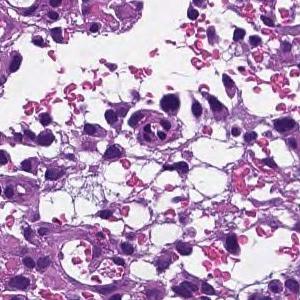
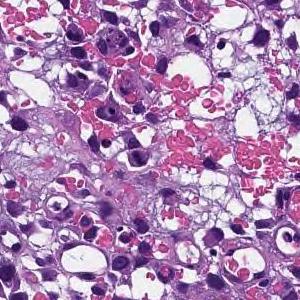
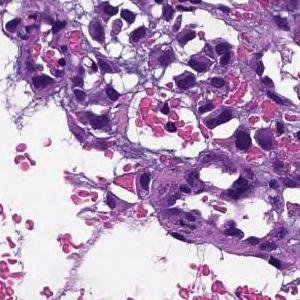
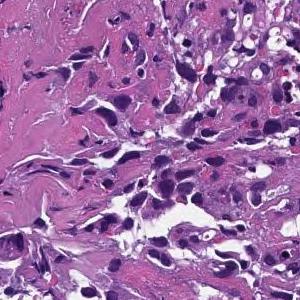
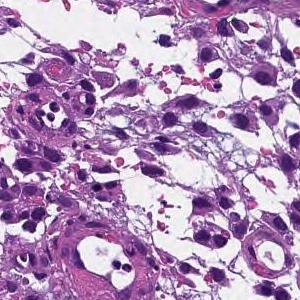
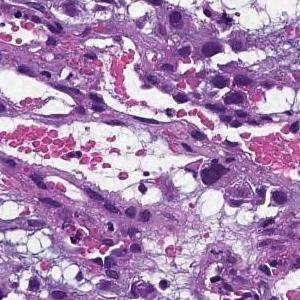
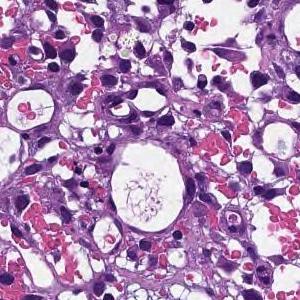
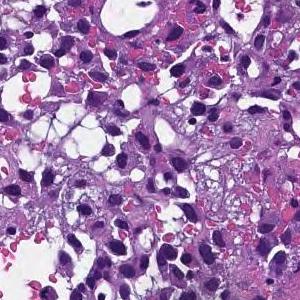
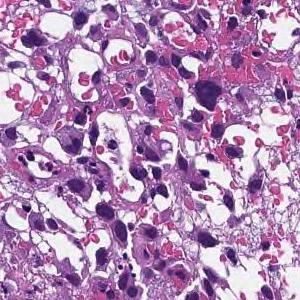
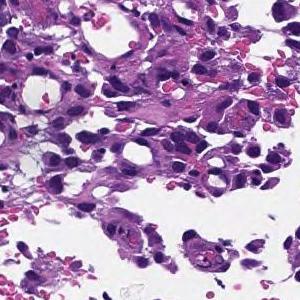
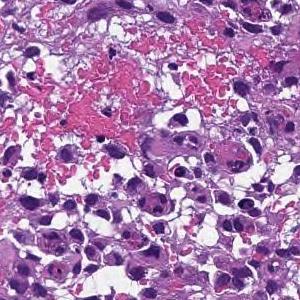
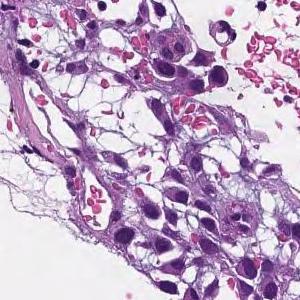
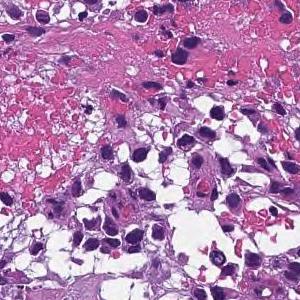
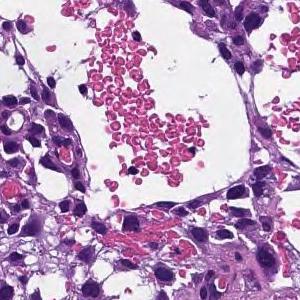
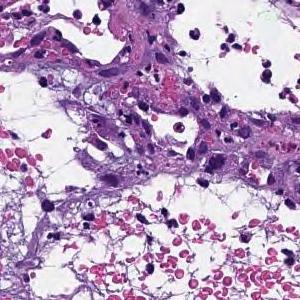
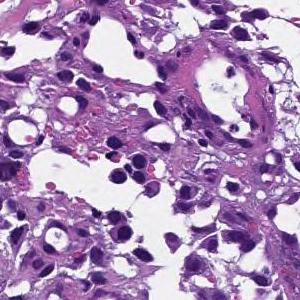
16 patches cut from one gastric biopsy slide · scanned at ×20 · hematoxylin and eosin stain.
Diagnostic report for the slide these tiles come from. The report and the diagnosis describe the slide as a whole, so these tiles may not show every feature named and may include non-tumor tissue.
Tumor tissue consisting of cord-like or small, irregular glandular ducts fused and infiltrated is observed in the superficial epithelium. Poorly differentiated adenocarcinoma, non-solid type
The non-solid type named here is a Japanese Classification of Gastric Carcinoma category.
